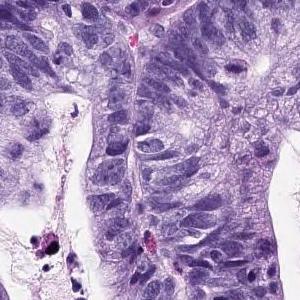
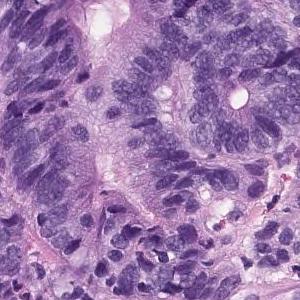
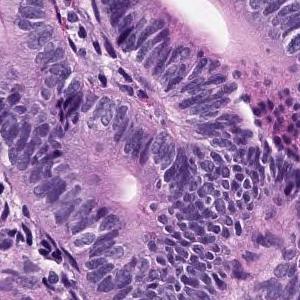
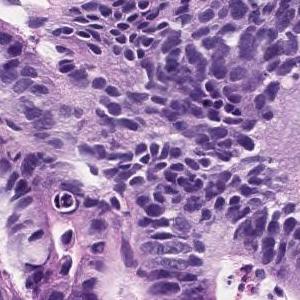
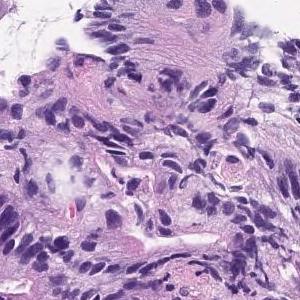
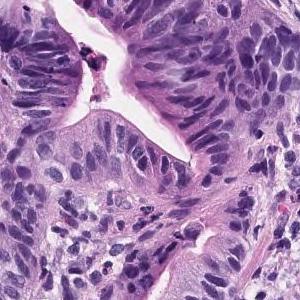
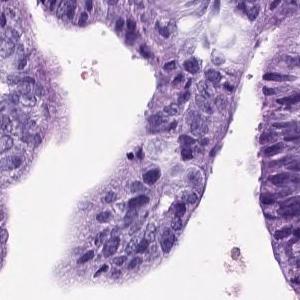
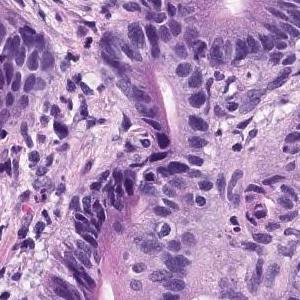
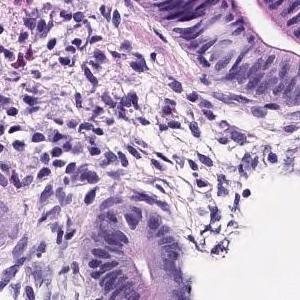
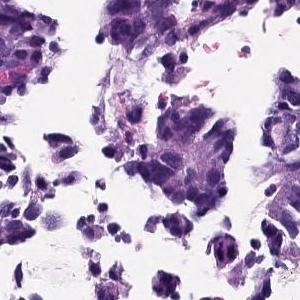
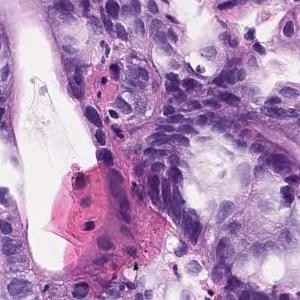
11 tiles from the same stomach biopsy slide, 300×300 px each.
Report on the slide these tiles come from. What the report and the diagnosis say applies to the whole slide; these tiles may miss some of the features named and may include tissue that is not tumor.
On the superficial epithelium, tumor tissue consisting of medium-sized to large-sized, round or irregular glandular duct growth images is observed. Well differentiated adenocarcinoma.
Histological subtype: Well differentiated tubular adenocarcinoma.
